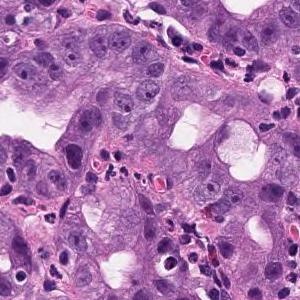
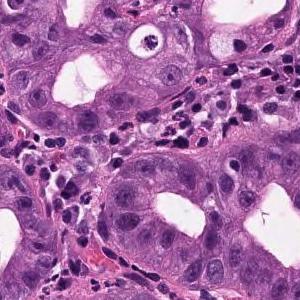
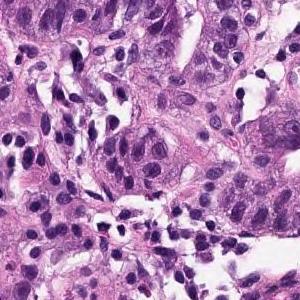
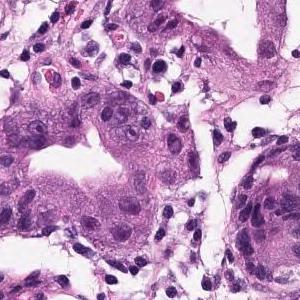
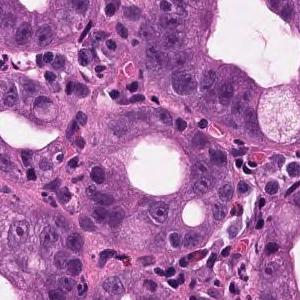
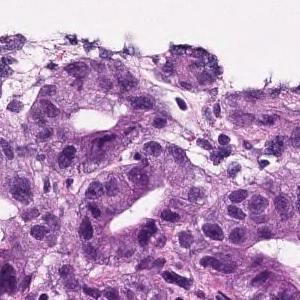
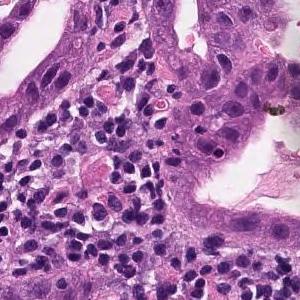
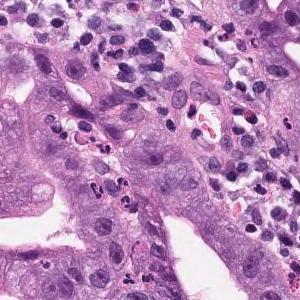
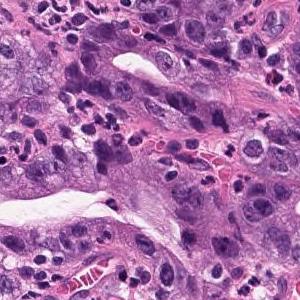
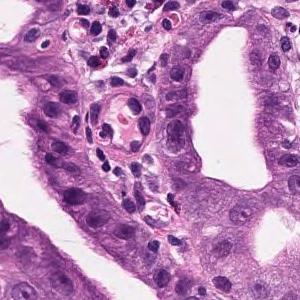
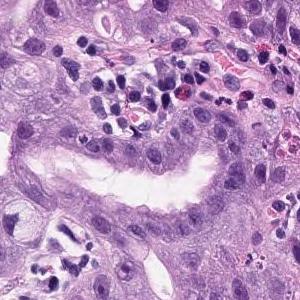
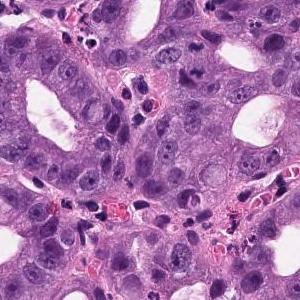
12 tiles from the same stomach biopsy slide, 300 × 300 pixels each.
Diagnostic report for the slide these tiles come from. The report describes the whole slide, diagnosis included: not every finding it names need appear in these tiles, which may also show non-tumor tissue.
In the superficial epithelium, tumor tissue that invades by forming medium-sized to small, irregular ducts is observed. Well to moderately differentiated adenocarcinoma (well differentiated tubular adenocarcinoma, moderately differentiated tubular adenocarcinoma).
Tumor subtype: well to moderately differentiated tubular adenocarcinoma.
